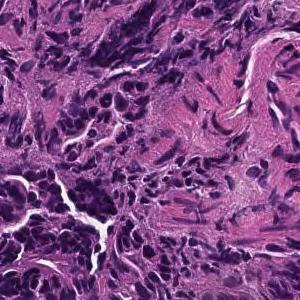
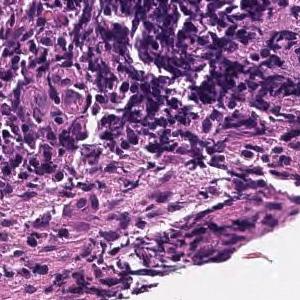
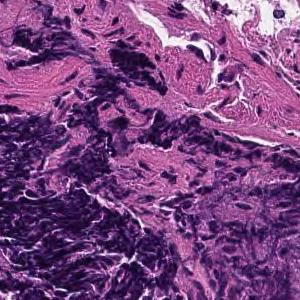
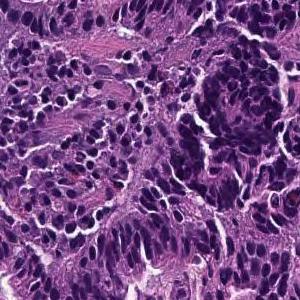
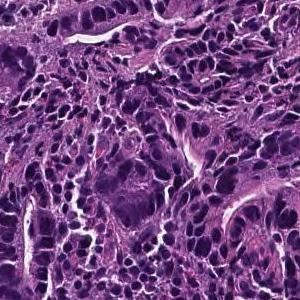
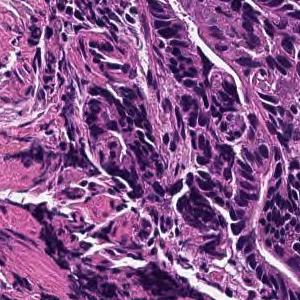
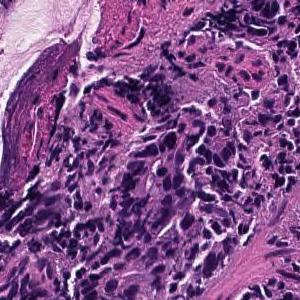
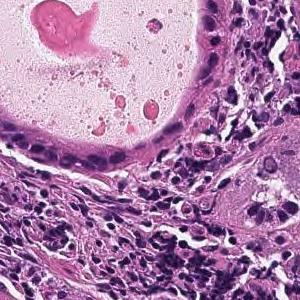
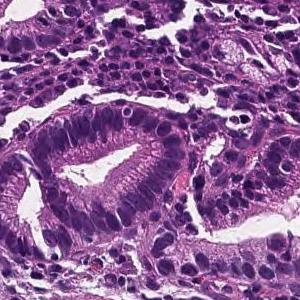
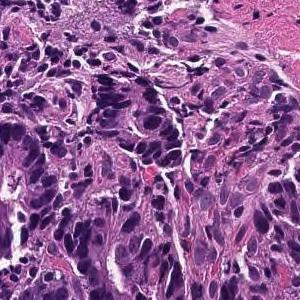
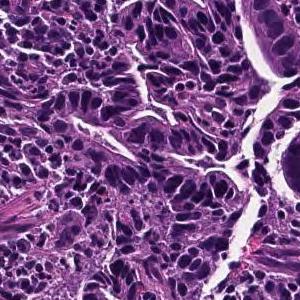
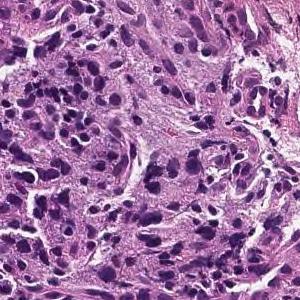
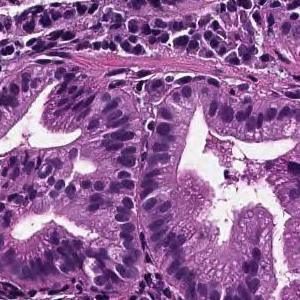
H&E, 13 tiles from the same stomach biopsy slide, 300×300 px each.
Pathology report for the biopsy slide these tiles were cut from. The report and the diagnosis cover the entire slide, so not every feature they name need be visible here, and some tissue shown may not be tumor.
On the superficial epithelium, tumor tissue consisting of large irregular glandular ducts partially fused and infiltrated is observed. Well to moderately differentiated tubular adenocarcinoma (well differentiated tubular adenocarcinoma, moderately differentiated tubular adenocarcinoma)
Classified as well to moderately differentiated tubular adenocarcinoma.
